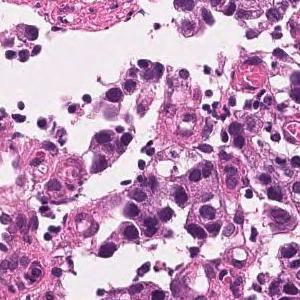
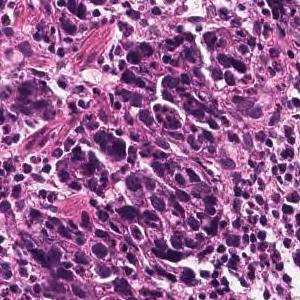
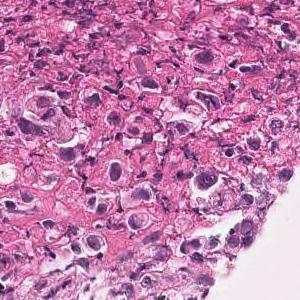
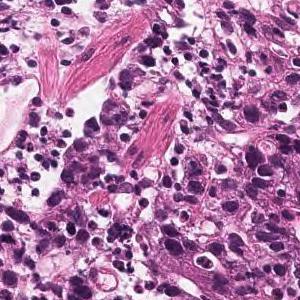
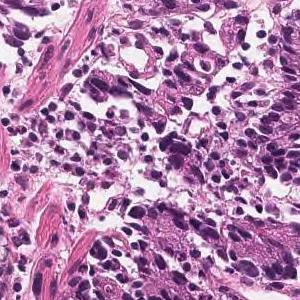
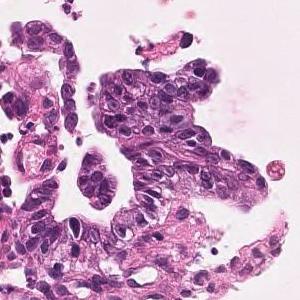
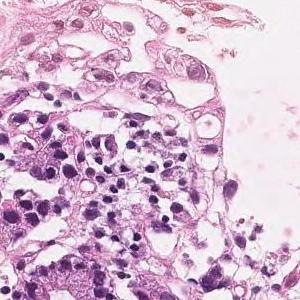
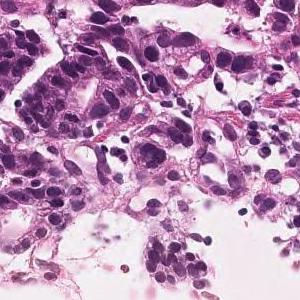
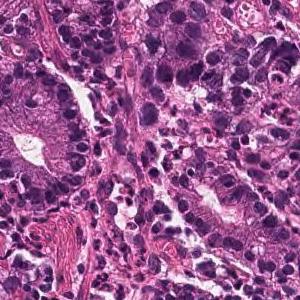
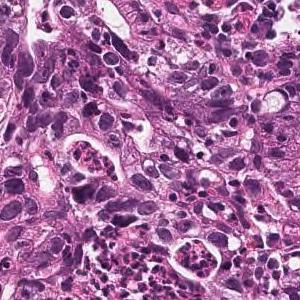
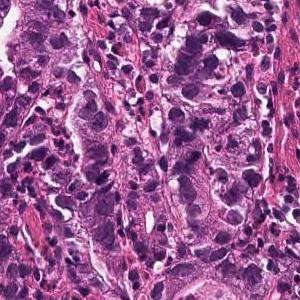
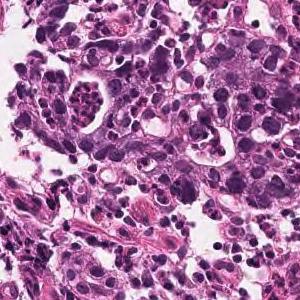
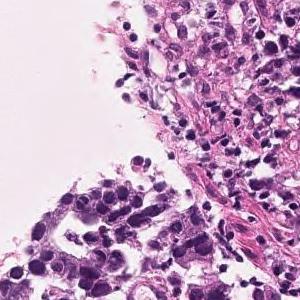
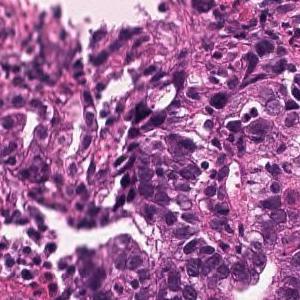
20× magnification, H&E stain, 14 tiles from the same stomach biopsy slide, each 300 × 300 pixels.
Pathology report for the biopsy slide these tiles were cut from. Both the report and the diagnosis are for the whole slide: these tiles need not show every feature named, and some of the tissue shown may not be tumor.
In the superficial epithelium, tumor tissue that invades by forming medium-sized to small, irregular ducts is observed. Moderately differentiated adenocarcinoma.
Histological subtype: Moderately differentiated tubular adenocarcinoma.
